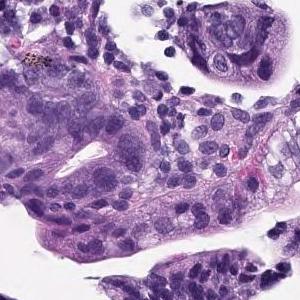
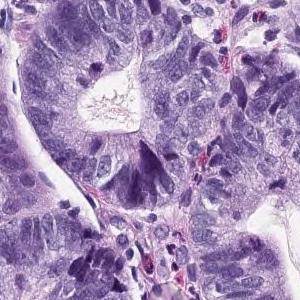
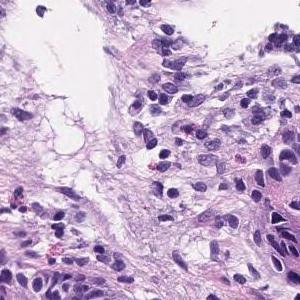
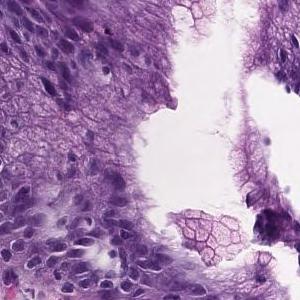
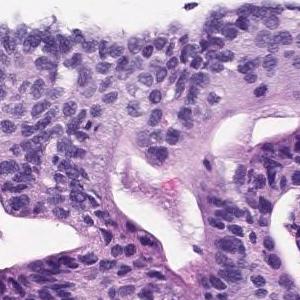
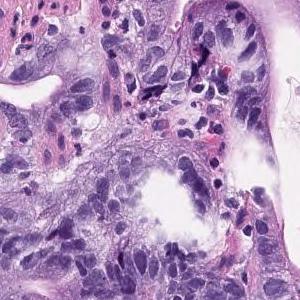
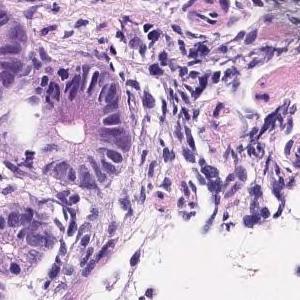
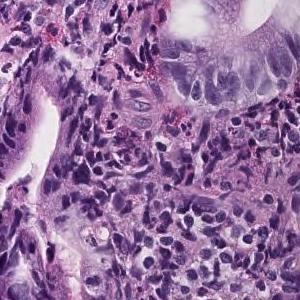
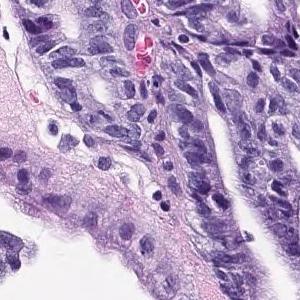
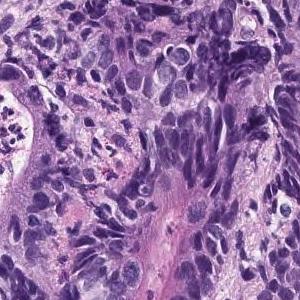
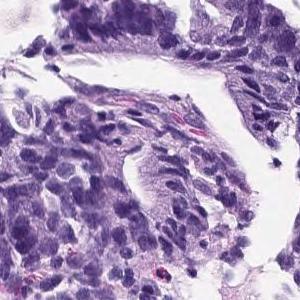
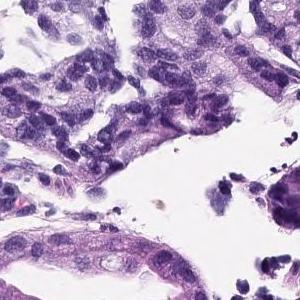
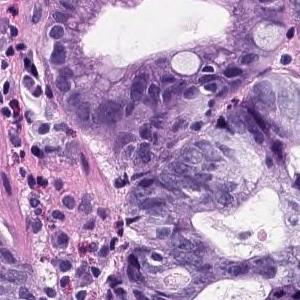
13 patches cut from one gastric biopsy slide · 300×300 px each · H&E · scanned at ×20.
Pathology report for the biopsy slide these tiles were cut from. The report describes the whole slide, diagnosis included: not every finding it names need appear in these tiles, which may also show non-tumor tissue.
On the superficial epithelium, tumor tissue consisting of medium-sized to large-sized, round or irregular glandular duct growth images is observed. Well differentiated adenocarcinoma.
Classified as well differentiated tubular adenocarcinoma.
